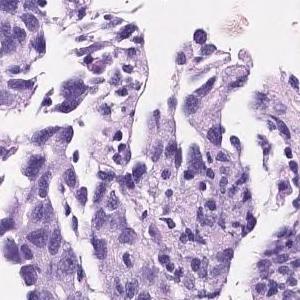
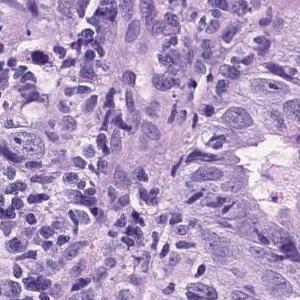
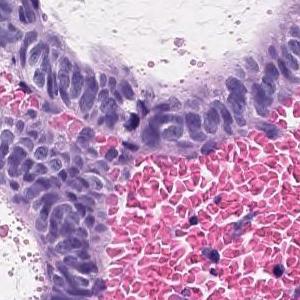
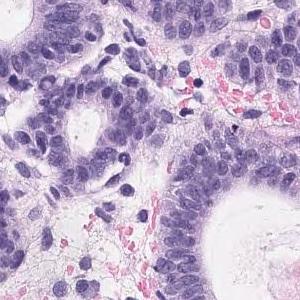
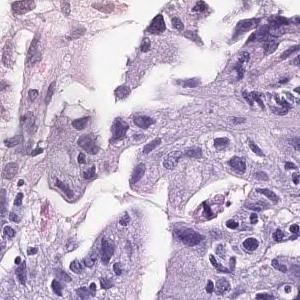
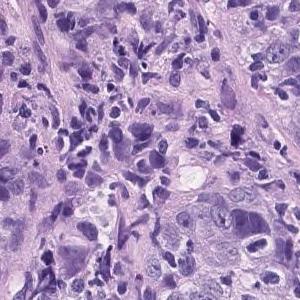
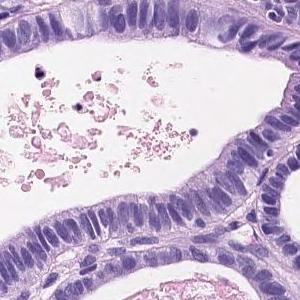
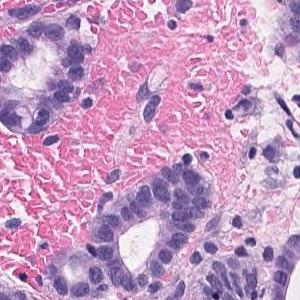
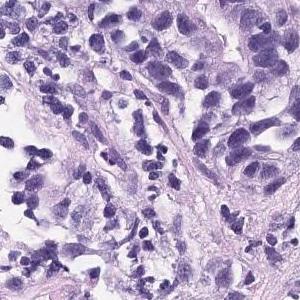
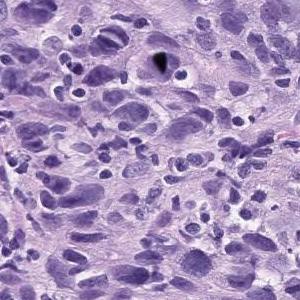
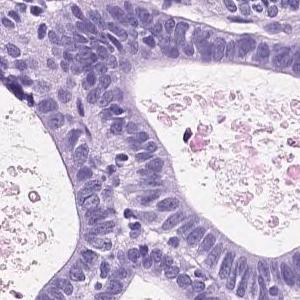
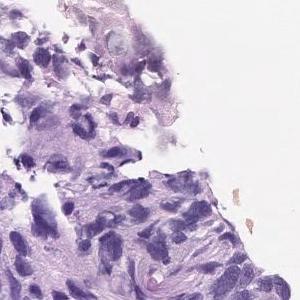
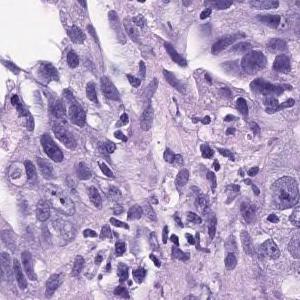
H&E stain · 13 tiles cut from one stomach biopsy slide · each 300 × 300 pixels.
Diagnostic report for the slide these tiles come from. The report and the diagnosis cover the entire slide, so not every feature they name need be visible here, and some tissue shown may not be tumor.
The superficial epithelium shows a large sheet-like shape, and some tumor tissue infiltrates with small irregular ducts. Poorly differentiated adenocarcinoma, solid-type
Histologic type: Poorly differentiated adenocarcinoma, solid type. This name comes from the Japanese Classification of Gastric Carcinoma; the WHO 2019 classification calls it tubular adenocarcinoma, poorly differentiated.
